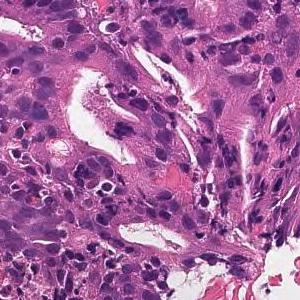
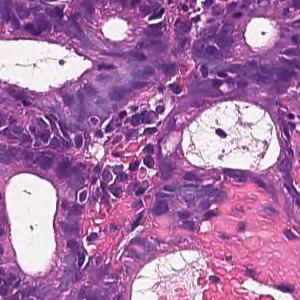
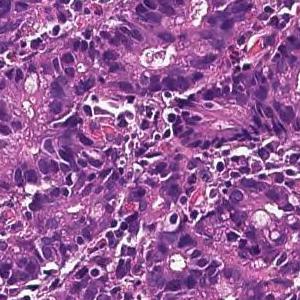
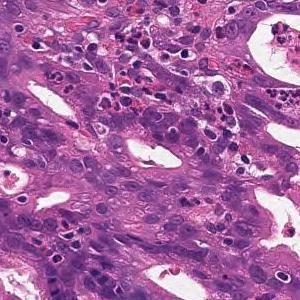
Scanned at ×20, H&E stain, 4 image tiles from a single gastric biopsy slide, 300×300 px each.
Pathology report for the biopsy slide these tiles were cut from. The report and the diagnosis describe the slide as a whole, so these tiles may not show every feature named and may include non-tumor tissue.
From the superficial epithelium to the muscularis mucosae, tumor tissue consisting of medium-sized and irregular glandular ducts infiltrating is observed. Well differentiated tubular adenocarcinoma
